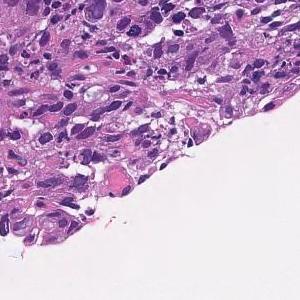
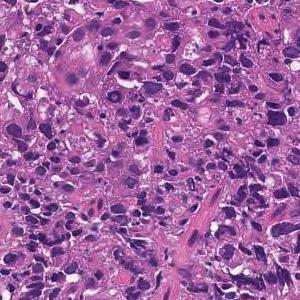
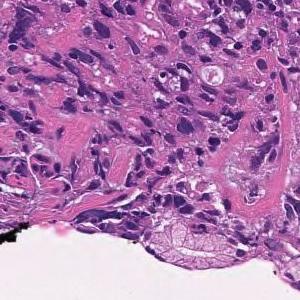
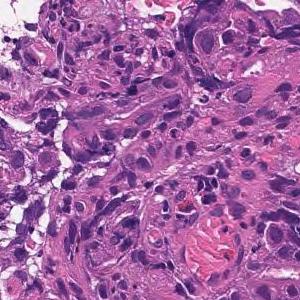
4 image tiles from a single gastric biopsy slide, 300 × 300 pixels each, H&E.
Report on the slide these tiles come from. The report describes the whole slide, diagnosis included: not every finding it names need appear in these tiles, which may also show non-tumor tissue.
In the superficial epithelium, tumor tissue that invades by forming medium-sized to small, irregular ducts is observed. moderately differentiated tubular adenocarcinoma.
